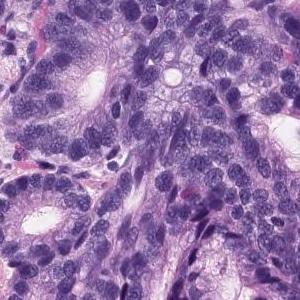
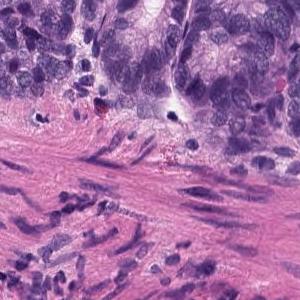
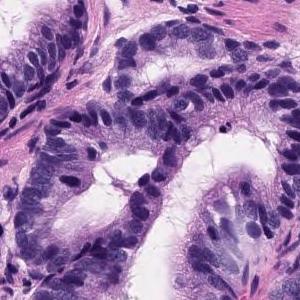
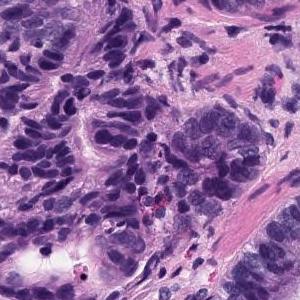
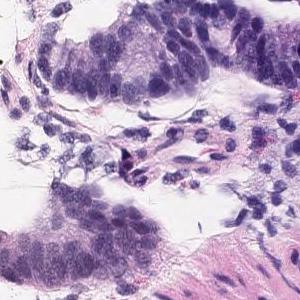
5 tiles from the same stomach biopsy slide, 300 × 300 pixels each, H&E stain, 20× magnification.
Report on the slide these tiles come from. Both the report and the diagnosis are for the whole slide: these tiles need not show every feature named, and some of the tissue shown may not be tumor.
Tumor tissue consisting of medium-sized and irregular ducts is observed infiltrating in the superficial epithelium. Tumor cells are highly columnar, with nuclei aligned basolaterally and polarized. Well differentiated tubular adenocarcinoma.
